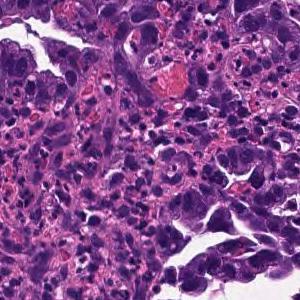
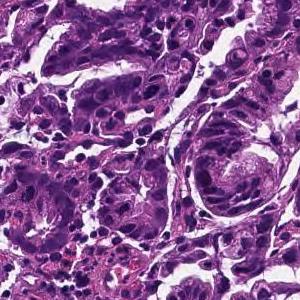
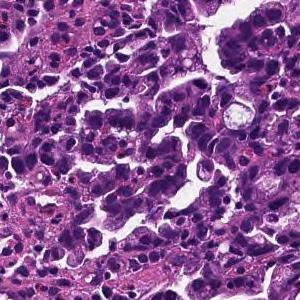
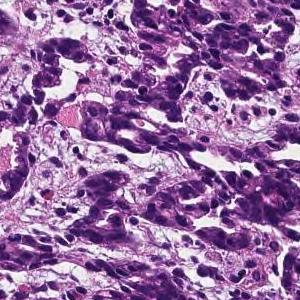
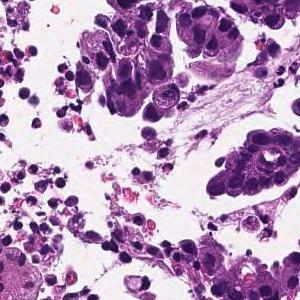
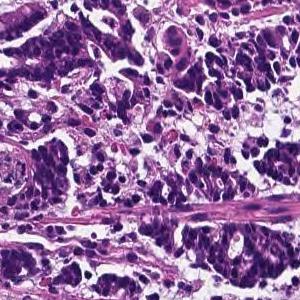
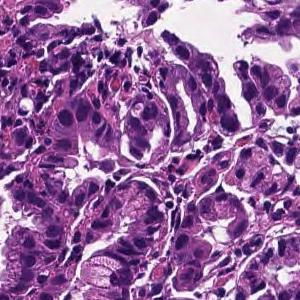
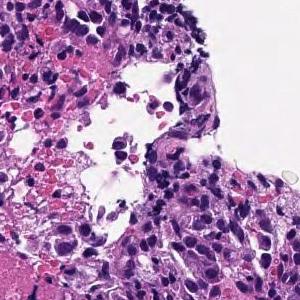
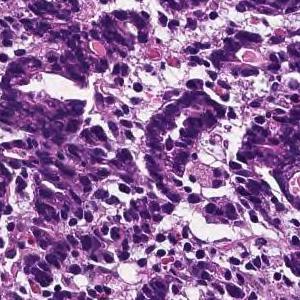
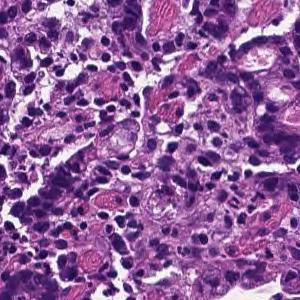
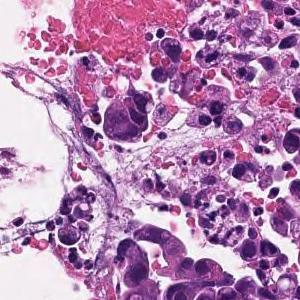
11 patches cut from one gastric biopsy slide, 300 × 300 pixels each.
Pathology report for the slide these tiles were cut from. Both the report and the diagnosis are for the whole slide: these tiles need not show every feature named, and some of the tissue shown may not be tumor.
In the superficial epithelium, tumor tissue that invades by forming medium-sized to small, irregular ducts is observed. moderately differentiated tubular adenocarcinoma.
